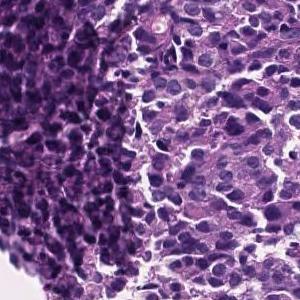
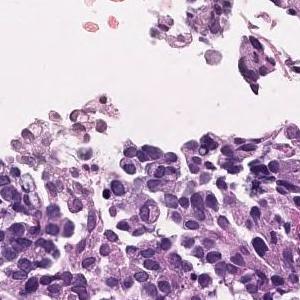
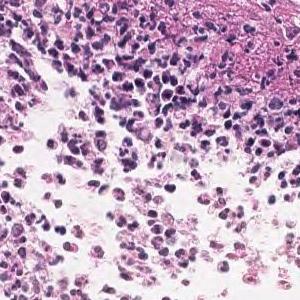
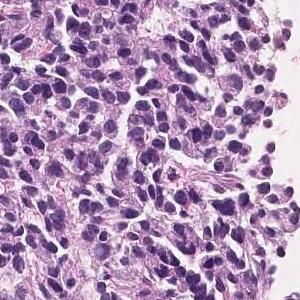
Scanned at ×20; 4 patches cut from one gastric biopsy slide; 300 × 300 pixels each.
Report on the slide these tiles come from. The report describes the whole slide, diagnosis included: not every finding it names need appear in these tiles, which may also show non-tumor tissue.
The superficial epithelium shows a large sheet-like shape, and some tumor tissue infiltrates with small irregular ducts. Poorly differentiated adenocarcinoma, solid-type
Subtype: Poorly differentiated adenocarcinoma, solid type. This name comes from the Japanese Classification of Gastric Carcinoma; the WHO 2019 classification calls it tubular adenocarcinoma, poorly differentiated.
